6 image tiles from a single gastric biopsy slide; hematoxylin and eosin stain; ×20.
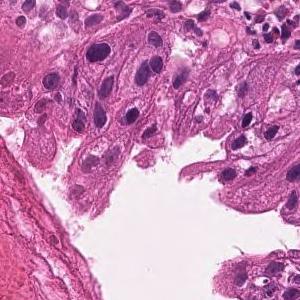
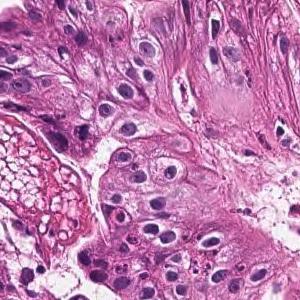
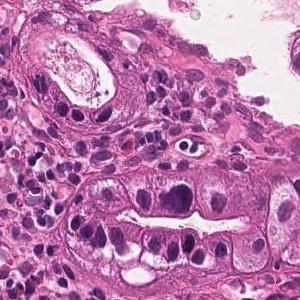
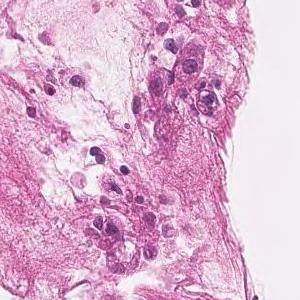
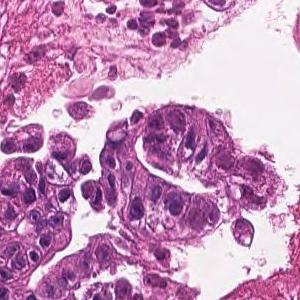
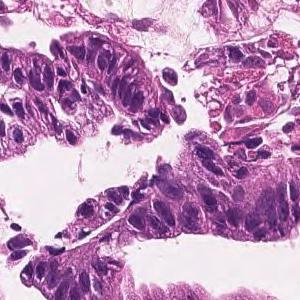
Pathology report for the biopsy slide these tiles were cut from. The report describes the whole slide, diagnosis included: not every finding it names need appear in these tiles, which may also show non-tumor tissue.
Tumor cells are large, highly columnar, large club-shaped nuclei, and are associated with chromatin aggregation. Papillary adenocarcinoma.
